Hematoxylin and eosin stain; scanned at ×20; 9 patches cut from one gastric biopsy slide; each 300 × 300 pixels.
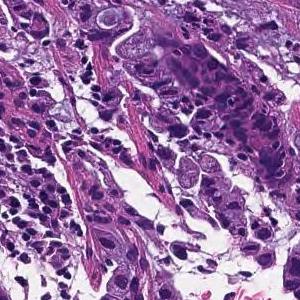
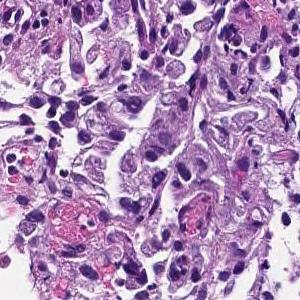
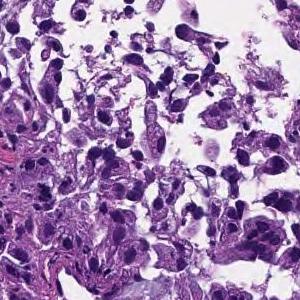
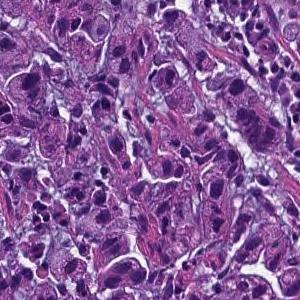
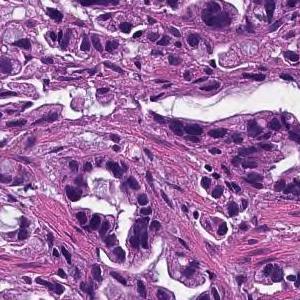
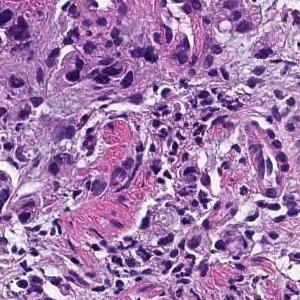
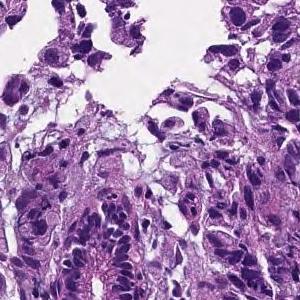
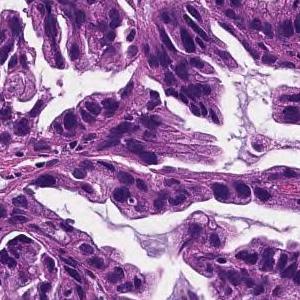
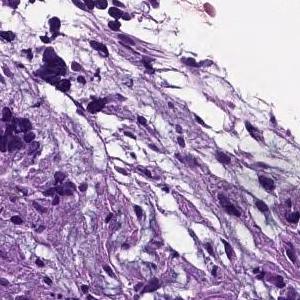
Report on the slide these tiles come from. What the report and the diagnosis say applies to the whole slide; these tiles may miss some of the features named and may include tissue that is not tumor.
Tumor tissue consisting of medium-sized, cord-like or irregular glandular infiltration is observed in the superficial epithelium. Poorly differentiated adenocarcinoma, non-solid type or moderately differentiated tubular adenocarcinoma
Histologic type: Moderately to poorly differentiated adenocarcinoma.
"Non-solid type" is a category of the Japanese Classification of Gastric Carcinoma.
